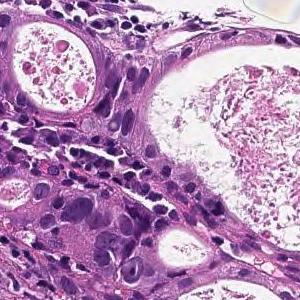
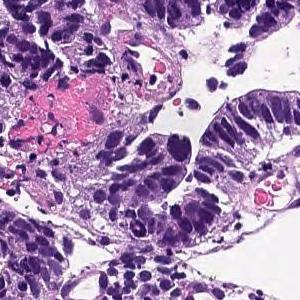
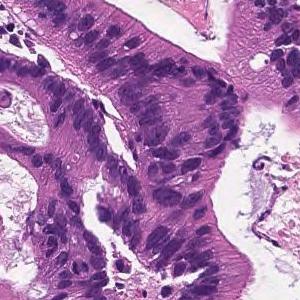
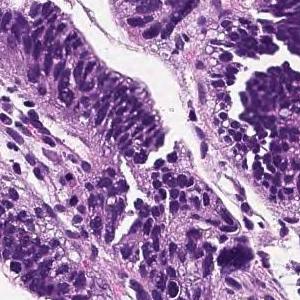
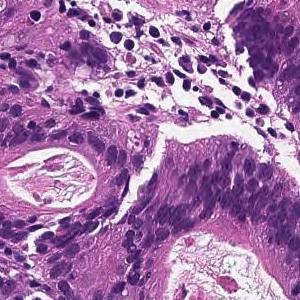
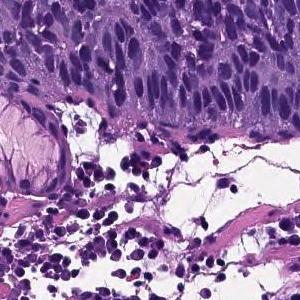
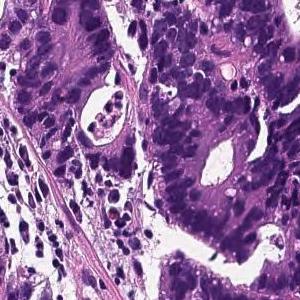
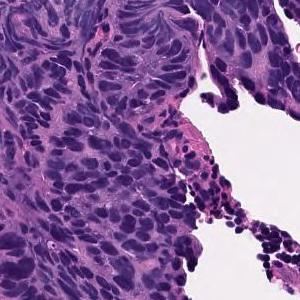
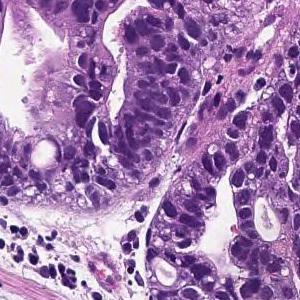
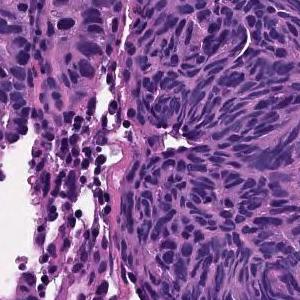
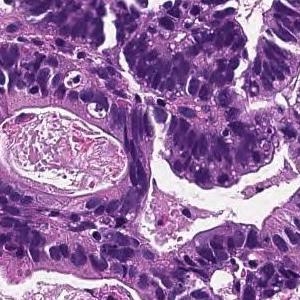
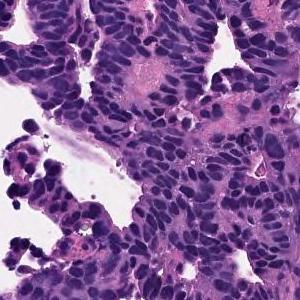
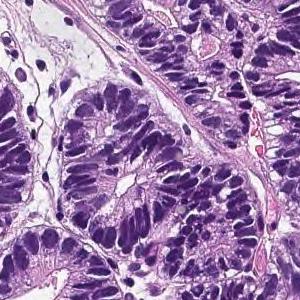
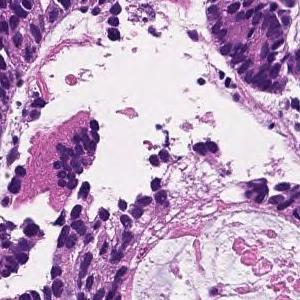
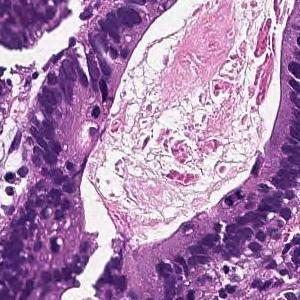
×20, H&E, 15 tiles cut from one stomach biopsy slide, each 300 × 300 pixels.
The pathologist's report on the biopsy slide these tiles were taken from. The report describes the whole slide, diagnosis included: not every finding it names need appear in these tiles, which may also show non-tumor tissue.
In the superficial epithelium, tumor tissue that invades by forming medium-sized to small, irregular ducts is observed. moderately differentiated tubular adenocarcinoma.
